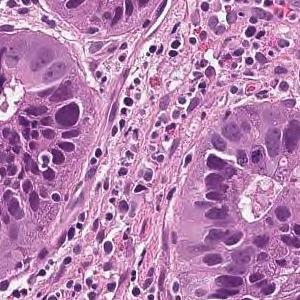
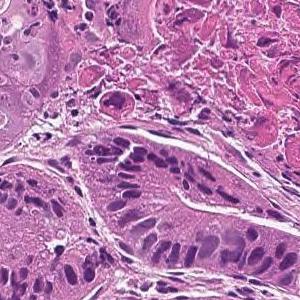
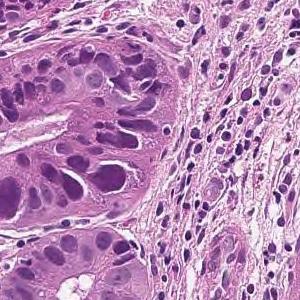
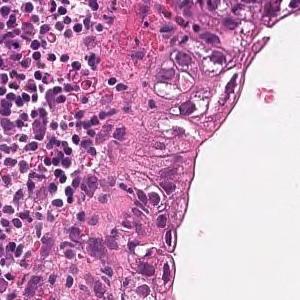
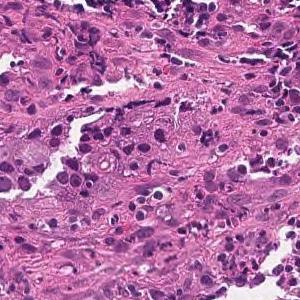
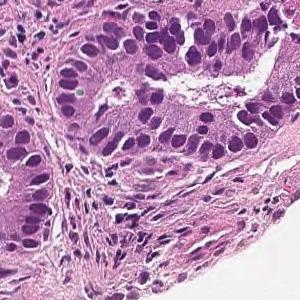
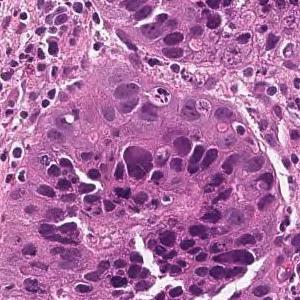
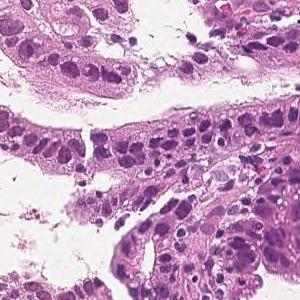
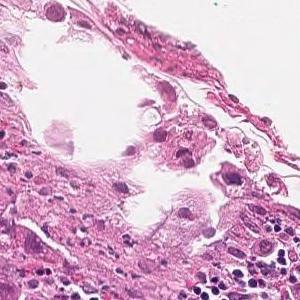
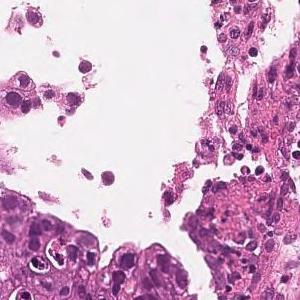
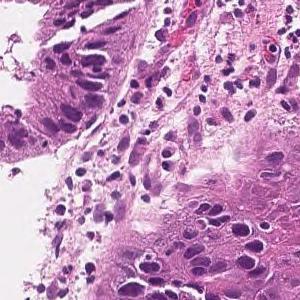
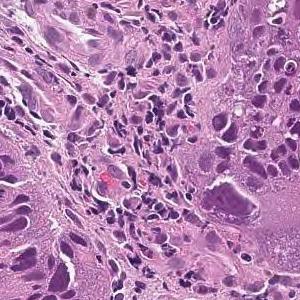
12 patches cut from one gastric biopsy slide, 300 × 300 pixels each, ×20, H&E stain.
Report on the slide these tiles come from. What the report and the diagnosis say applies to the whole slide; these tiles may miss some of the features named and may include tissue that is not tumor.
In the superficial epithelium, tumor tissue that invades by forming medium-sized to small, irregular ducts is observed. moderately differentiated tubular adenocarcinoma.
